H&E stain · 4 image tiles from a single gastric biopsy slide · 300 × 300 pixels each.
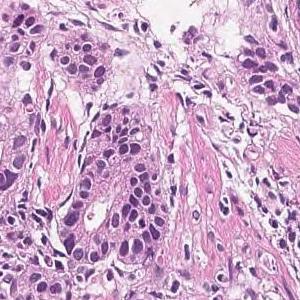
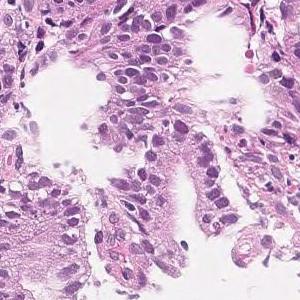
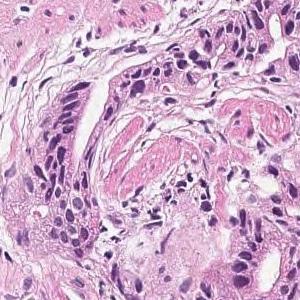
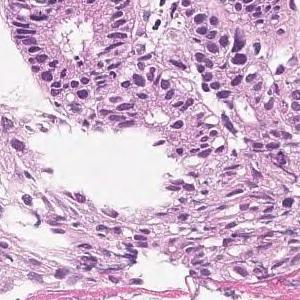
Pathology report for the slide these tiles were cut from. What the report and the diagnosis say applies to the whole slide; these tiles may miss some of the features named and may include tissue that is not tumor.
In the superficial epithelium, tumor tissue that invades by forming medium-sized to small, irregular ducts is observed. moderately differentiated tubular adenocarcinoma.
